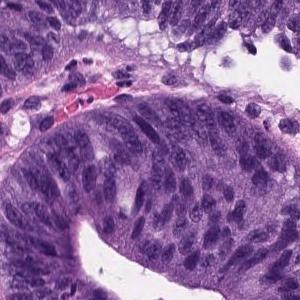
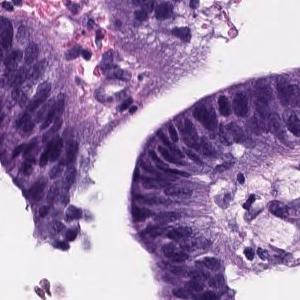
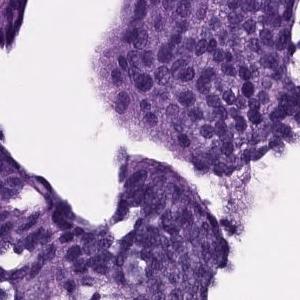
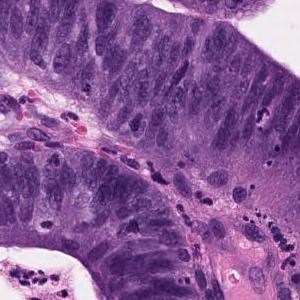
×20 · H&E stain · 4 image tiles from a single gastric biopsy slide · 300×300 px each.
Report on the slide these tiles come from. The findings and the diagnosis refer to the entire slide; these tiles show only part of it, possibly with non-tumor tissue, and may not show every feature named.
Papillo-tubular growth of atypical tubules with nuclear swelling is observed. Well differentiated tubular adenocarcinoma
